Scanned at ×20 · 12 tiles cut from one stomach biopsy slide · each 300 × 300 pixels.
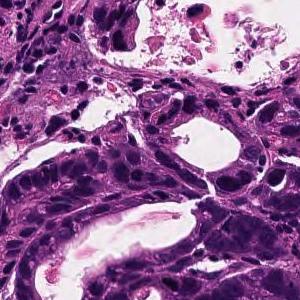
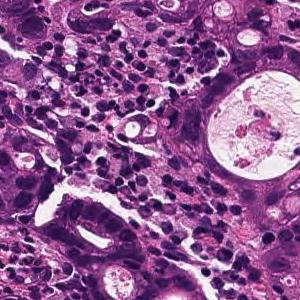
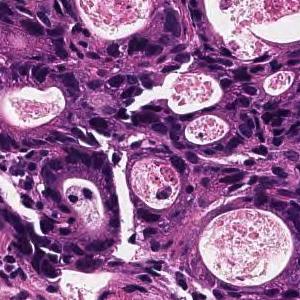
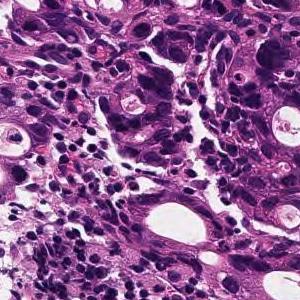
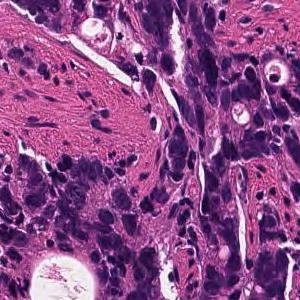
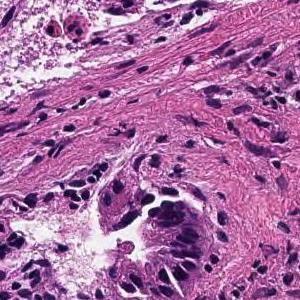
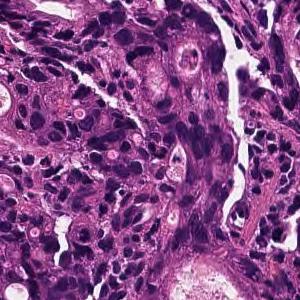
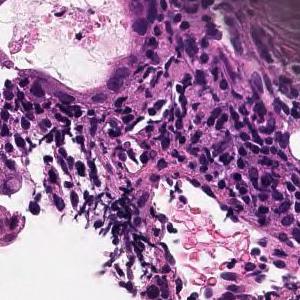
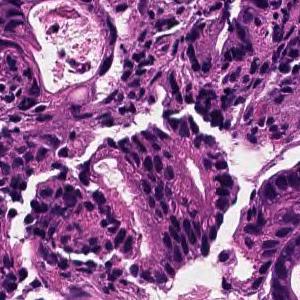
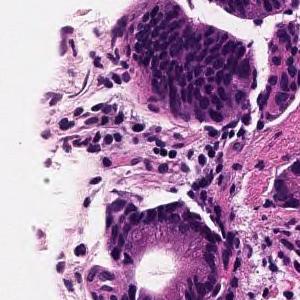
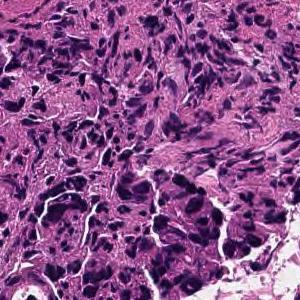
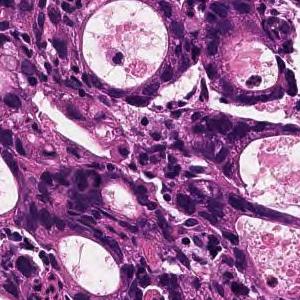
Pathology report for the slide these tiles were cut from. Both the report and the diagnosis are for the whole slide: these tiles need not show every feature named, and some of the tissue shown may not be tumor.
In the superficial epithelium, tumor tissue that invades by forming medium-sized to small, irregular ducts is observed. moderately differentiated tubular adenocarcinoma.
